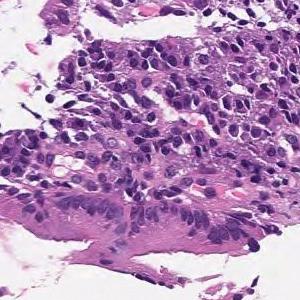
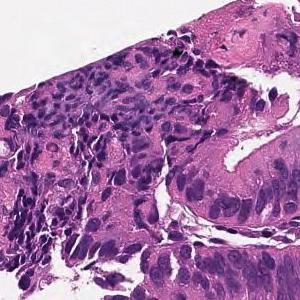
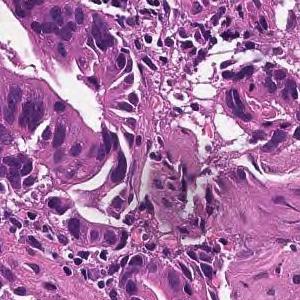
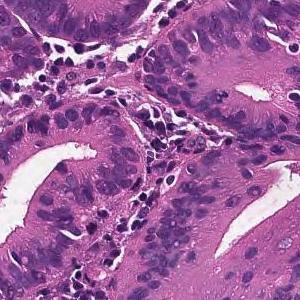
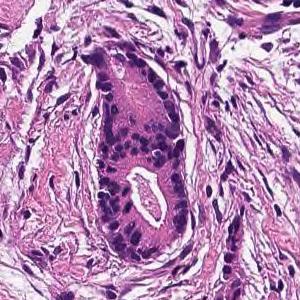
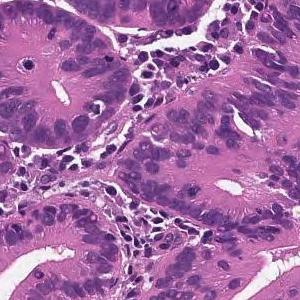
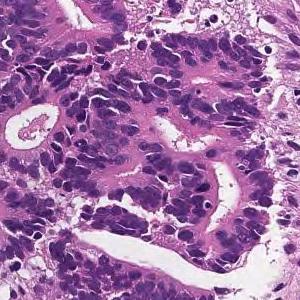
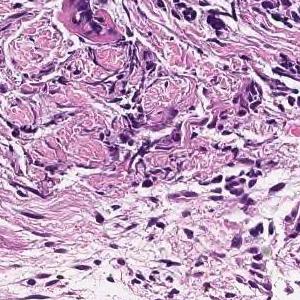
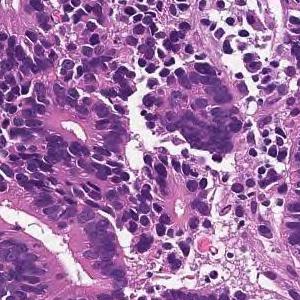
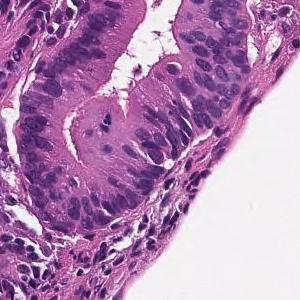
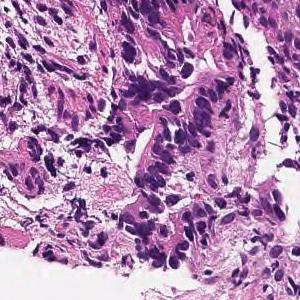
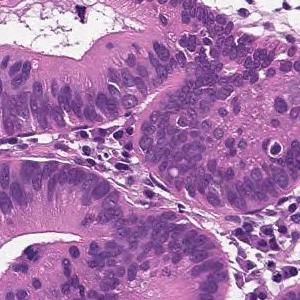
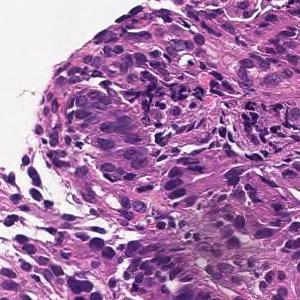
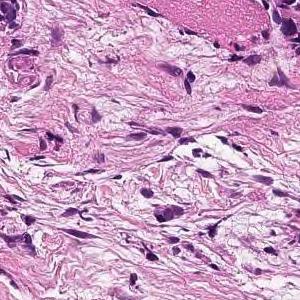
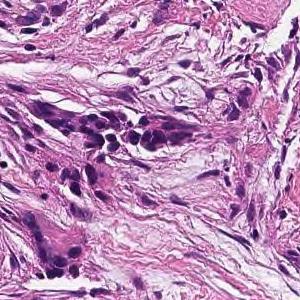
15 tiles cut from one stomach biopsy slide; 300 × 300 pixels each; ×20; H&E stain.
Pathology report for the slide these tiles were cut from. The report describes the whole slide, diagnosis included: not every finding it names need appear in these tiles, which may also show non-tumor tissue.
From the superficial epithelium to the muscularis mucosae, tumor tissue consisting of medium-sized and irregular glandular ducts infiltrating is observed. Well differentiated tubular adenocarcinoma
